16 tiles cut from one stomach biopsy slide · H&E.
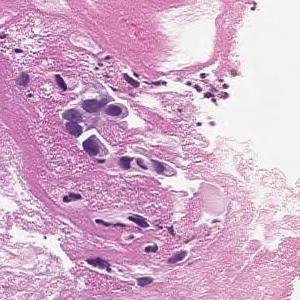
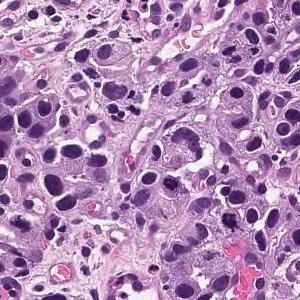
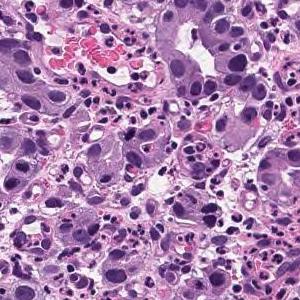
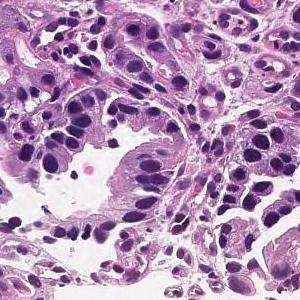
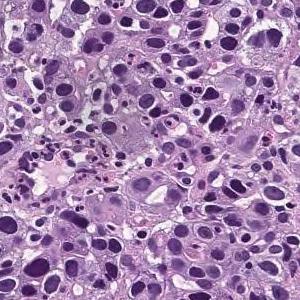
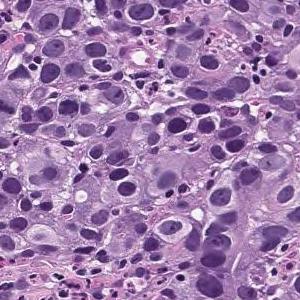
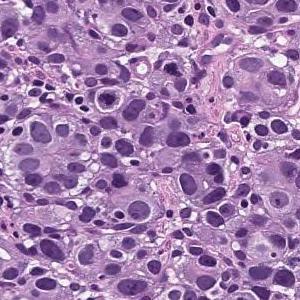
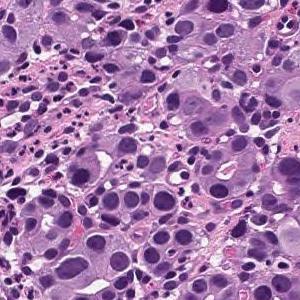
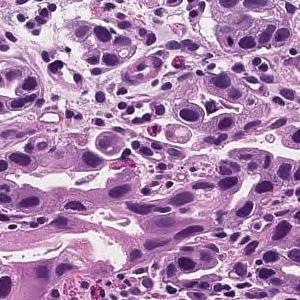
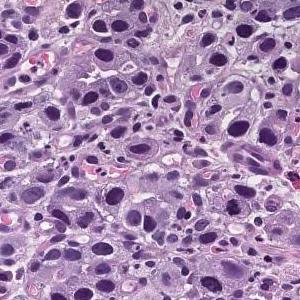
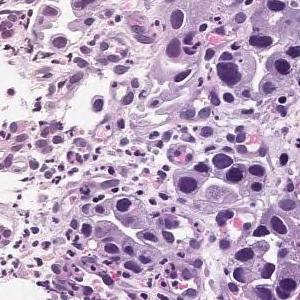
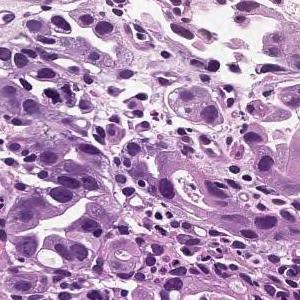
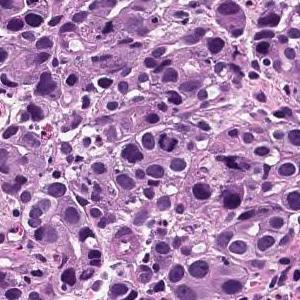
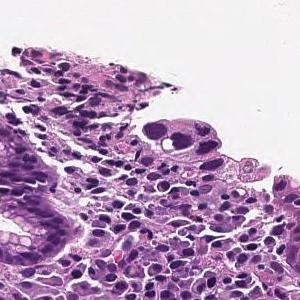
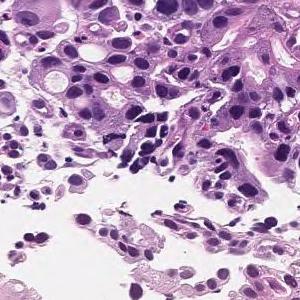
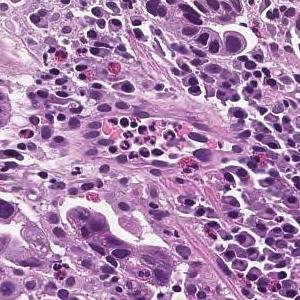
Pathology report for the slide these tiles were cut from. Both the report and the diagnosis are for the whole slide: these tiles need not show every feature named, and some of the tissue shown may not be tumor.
The superficial epithelium shows a large sheet or alveolar shape, and tumor tissue infiltrating without irregular ducts is observed. Poorly differentiated adenocarcinoma, solid-type
Histological subtype: Poorly differentiated adenocarcinoma, solid type, a category of the Japanese Classification of Gastric Carcinoma; in the WHO 2019 classification it is tubular adenocarcinoma, poorly differentiated.
